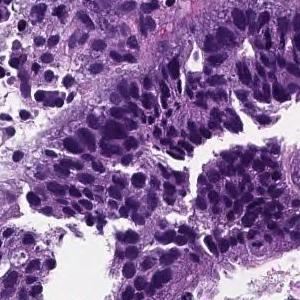
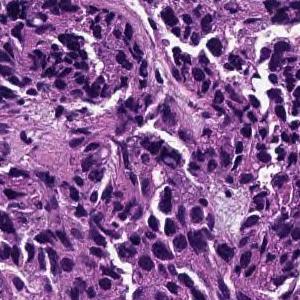
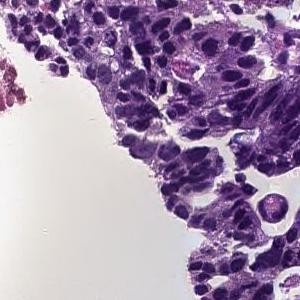
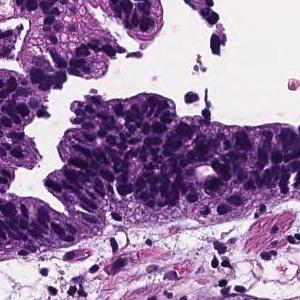
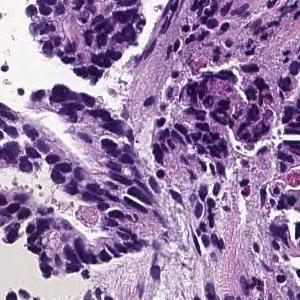
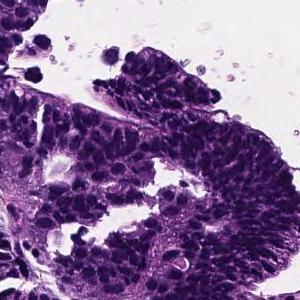
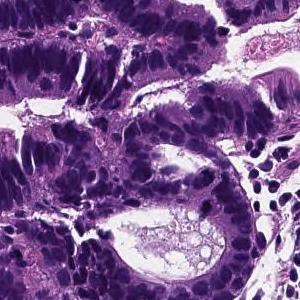
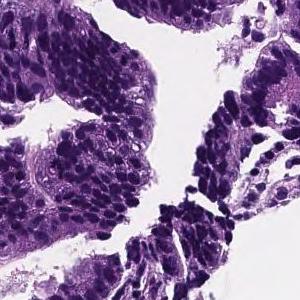
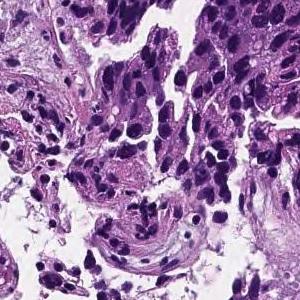
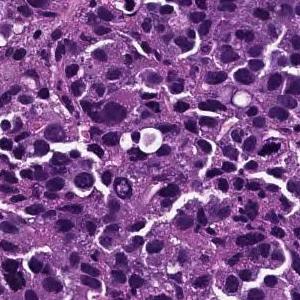
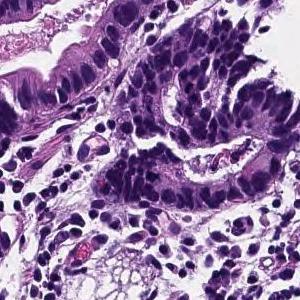
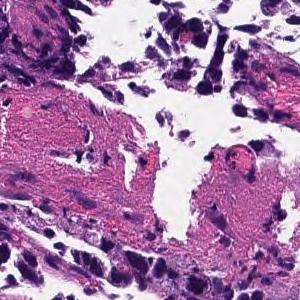
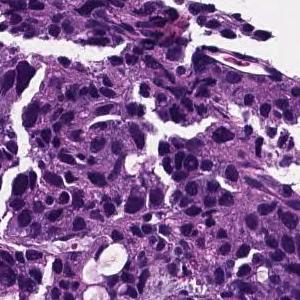
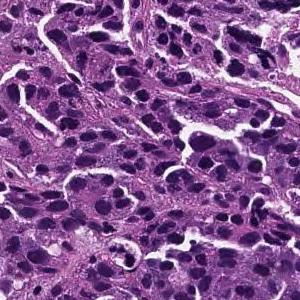
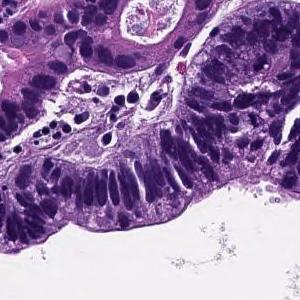
×20 · 15 tiles from the same stomach biopsy slide · each 300 × 300 pixels.
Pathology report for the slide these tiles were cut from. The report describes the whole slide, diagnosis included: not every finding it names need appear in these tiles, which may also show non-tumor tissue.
From the superficial epithelium to the muscularis mucosae, tumor tissue consisting of medium-sized and irregular glandular ducts infiltrating is observed. Well differentiated tubular adenocarcinoma
